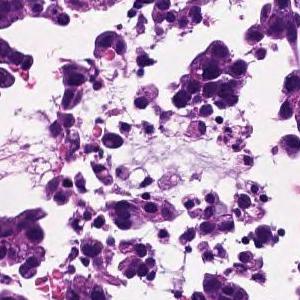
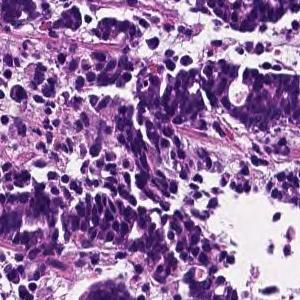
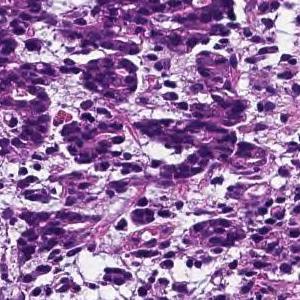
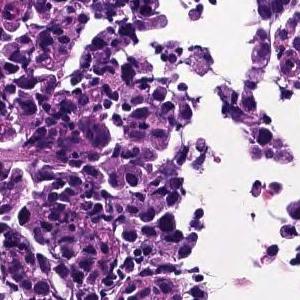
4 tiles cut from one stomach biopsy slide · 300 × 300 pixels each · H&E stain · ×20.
Diagnostic report for the slide these tiles come from. The report and the diagnosis cover the entire slide, so not every feature they name need be visible here, and some tissue shown may not be tumor.
In the superficial epithelium, tumor tissue that invades by forming medium-sized to small, irregular ducts is observed. moderately differentiated tubular adenocarcinoma.
